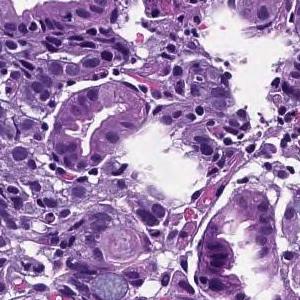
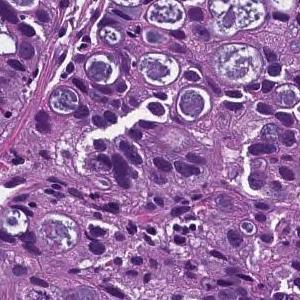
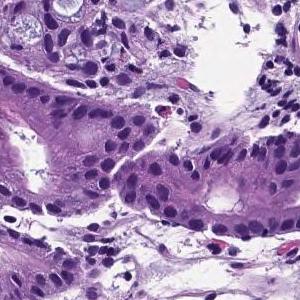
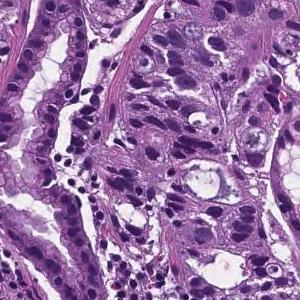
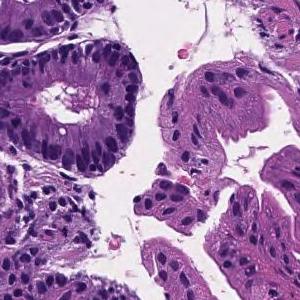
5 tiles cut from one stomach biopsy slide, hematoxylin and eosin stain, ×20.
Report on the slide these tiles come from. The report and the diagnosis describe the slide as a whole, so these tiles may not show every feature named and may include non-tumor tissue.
In the superficial epithelium, tumor tissue that invades by forming medium-sized to small, irregular ducts is observed. moderately differentiated tubular adenocarcinoma.
